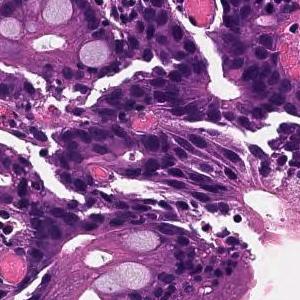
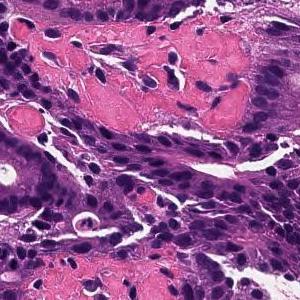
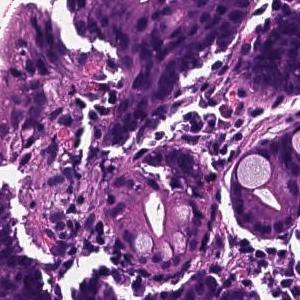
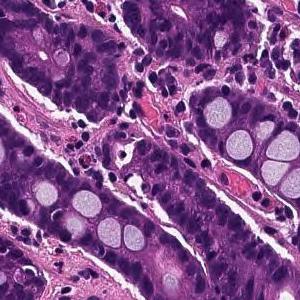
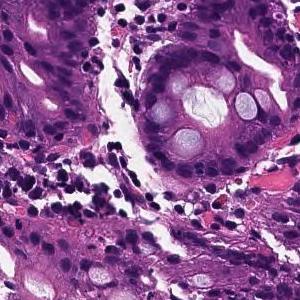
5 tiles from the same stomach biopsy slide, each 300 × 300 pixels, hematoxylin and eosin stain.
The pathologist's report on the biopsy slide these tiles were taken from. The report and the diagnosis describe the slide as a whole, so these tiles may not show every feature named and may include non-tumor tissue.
In the superficial epithelium, tumor tissue that invades by forming medium-sized to small, irregular ducts is observed. moderately differentiated tubular adenocarcinoma.
